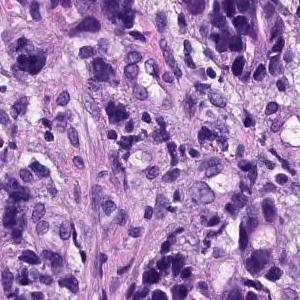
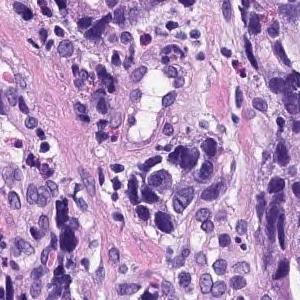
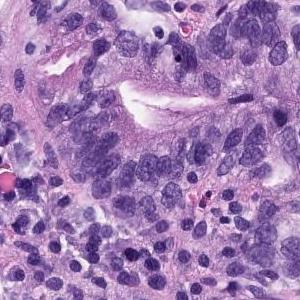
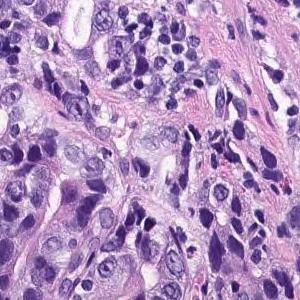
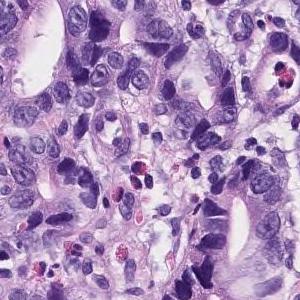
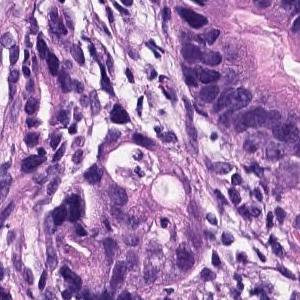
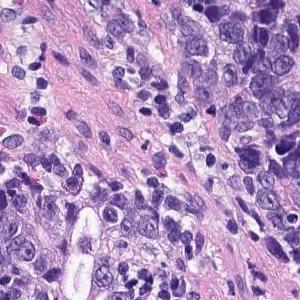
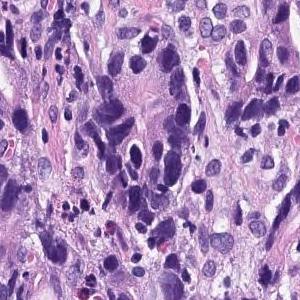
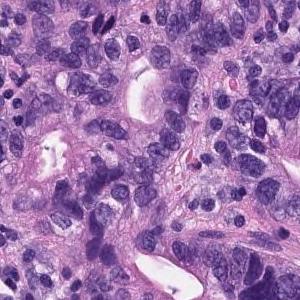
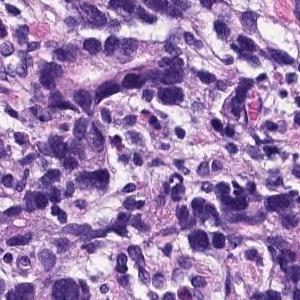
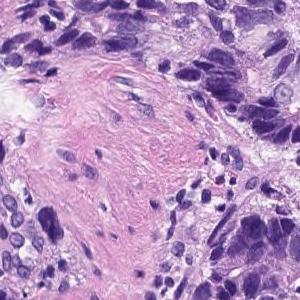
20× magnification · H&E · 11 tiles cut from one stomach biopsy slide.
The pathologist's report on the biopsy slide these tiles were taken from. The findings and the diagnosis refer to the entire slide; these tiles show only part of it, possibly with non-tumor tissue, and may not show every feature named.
On the superficial epithelium, tumor tissue consisting of images showing invasive growth with small, irregular tubules partially fused is observed. moderately differentiated tubular adenocarcinoma
